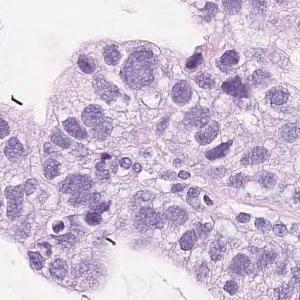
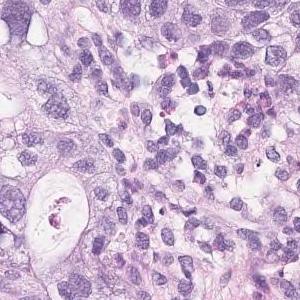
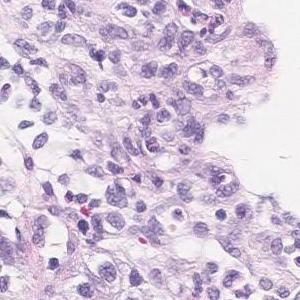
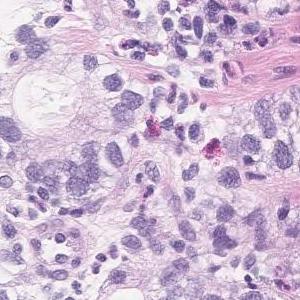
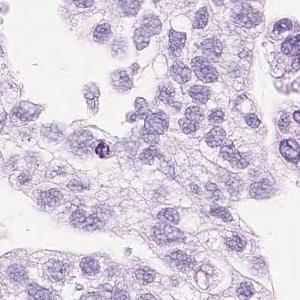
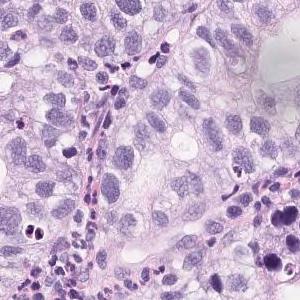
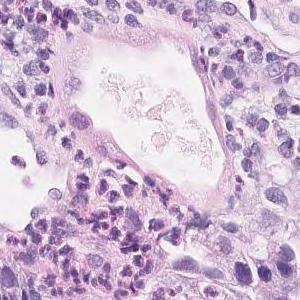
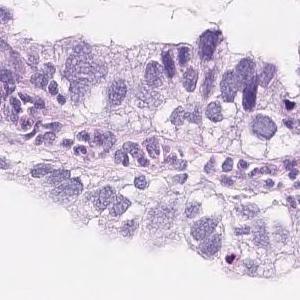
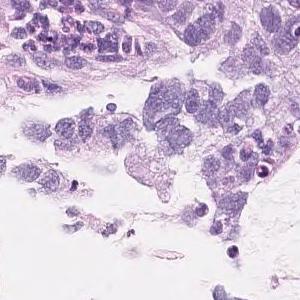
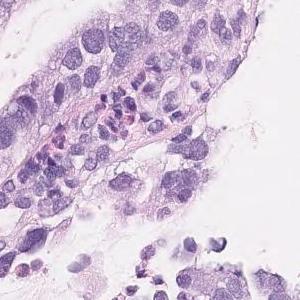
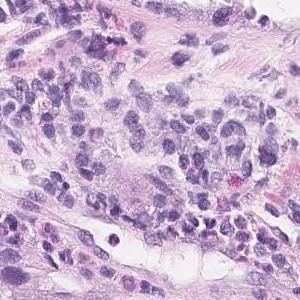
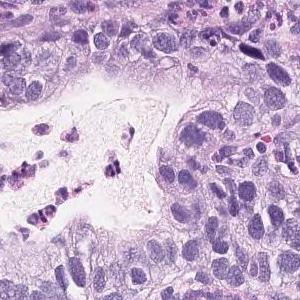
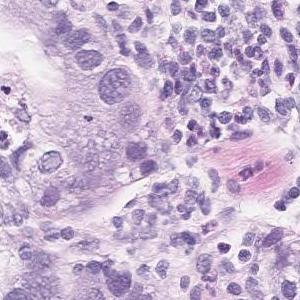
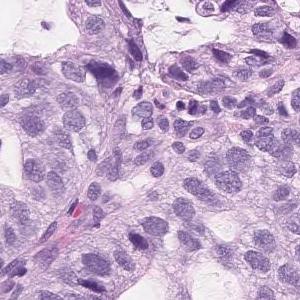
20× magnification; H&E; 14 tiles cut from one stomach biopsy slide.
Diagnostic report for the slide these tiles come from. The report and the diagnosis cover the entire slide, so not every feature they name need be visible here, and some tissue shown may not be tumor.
On the superficial epithelium, tumor tissue consisting of large, irregular glandular ducts partially fused and infiltrated is observed. Well to moderately differentiated tubular adenocarcinoma (well differentiated tubular adenocarcinoma, moderately differentiated tubular adenocarcinoma)
Histological subtype: Well to moderately differentiated tubular adenocarcinoma.
